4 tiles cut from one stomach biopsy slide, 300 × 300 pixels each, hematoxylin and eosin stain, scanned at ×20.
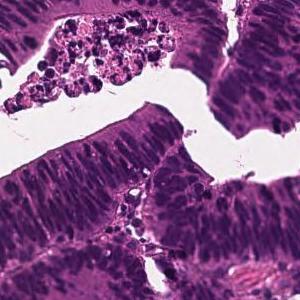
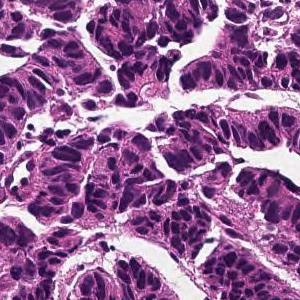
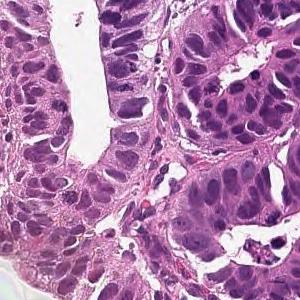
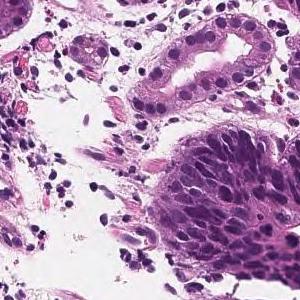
Pathology report for the biopsy slide these tiles were cut from. The report and the diagnosis describe the slide as a whole, so these tiles may not show every feature named and may include non-tumor tissue.
From the superficial epithelium to the muscularis mucosae, tumor tissue consisting of medium-sized and irregular glandular ducts infiltrating is observed. Well differentiated tubular adenocarcinoma
